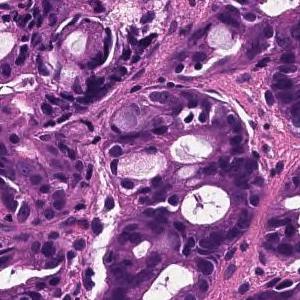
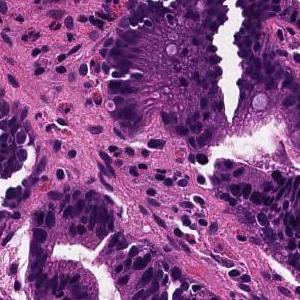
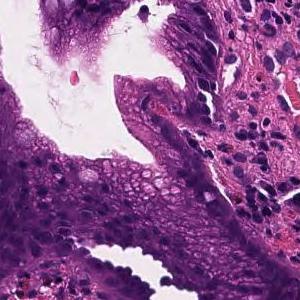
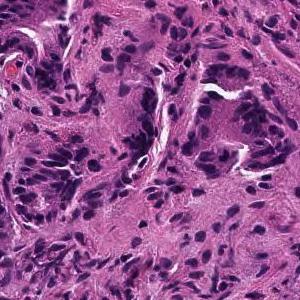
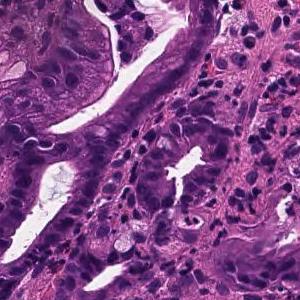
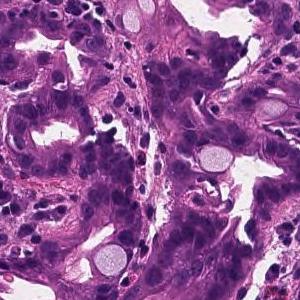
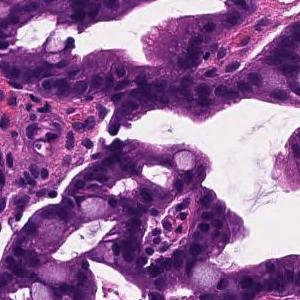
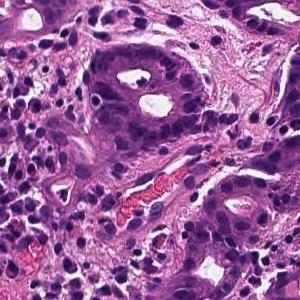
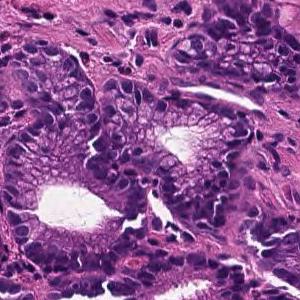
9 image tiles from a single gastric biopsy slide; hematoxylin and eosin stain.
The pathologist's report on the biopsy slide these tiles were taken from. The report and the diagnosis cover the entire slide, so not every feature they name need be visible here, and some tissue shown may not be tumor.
From the superficial epithelium to the muscularis mucosae, tumor tissue consisting of medium-sized and irregular glandular ducts infiltrating is observed. Well differentiated tubular adenocarcinoma
